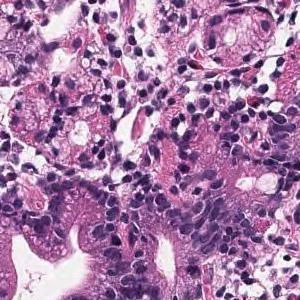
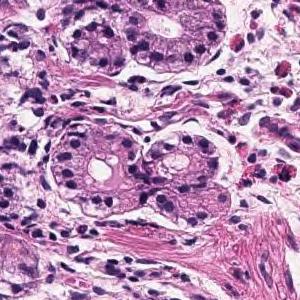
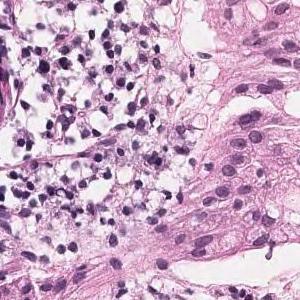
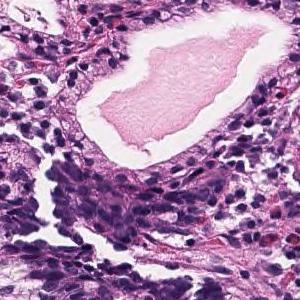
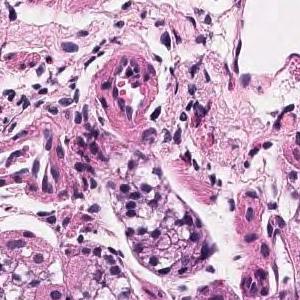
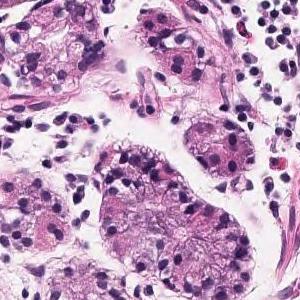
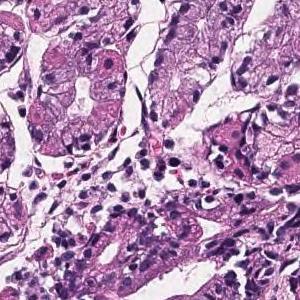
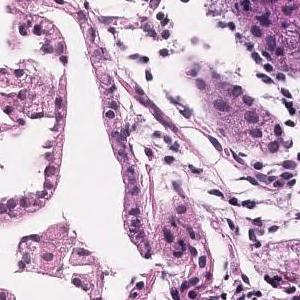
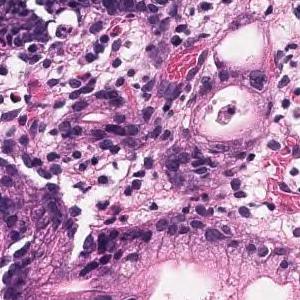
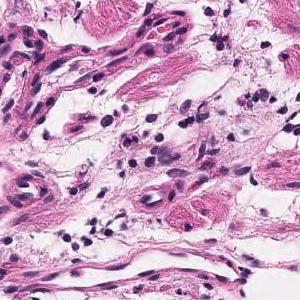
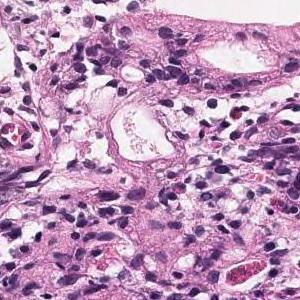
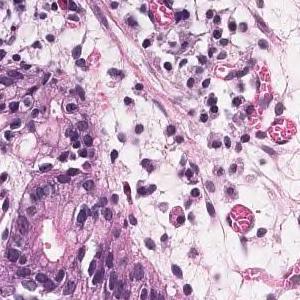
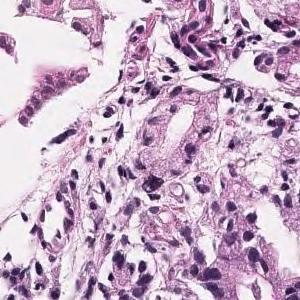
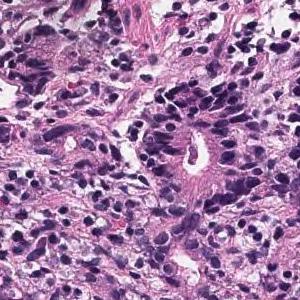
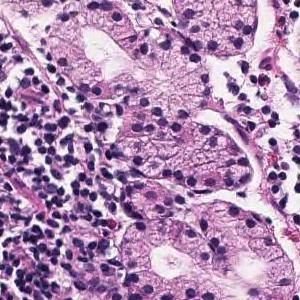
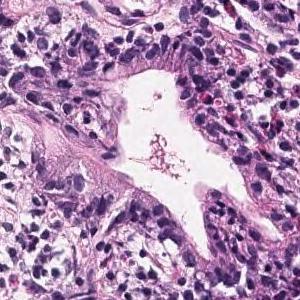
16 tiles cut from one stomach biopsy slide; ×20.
Pathology report for the biopsy slide these tiles were cut from. What the report and the diagnosis say applies to the whole slide; these tiles may miss some of the features named and may include tissue that is not tumor.
Tumor tissue that grows and grows is observed, showing a medium-sized round or irregular duct. moderately differentiated tubular adenocarcinoma
